10 patches cut from one gastric biopsy slide, each 300 × 300 pixels, H&E stain, ×20.
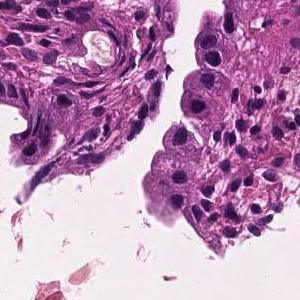
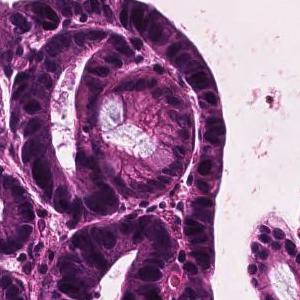
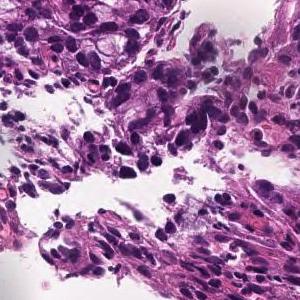
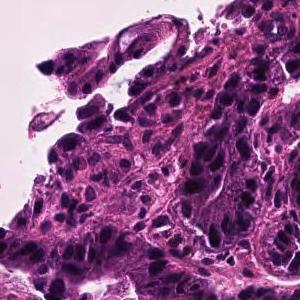
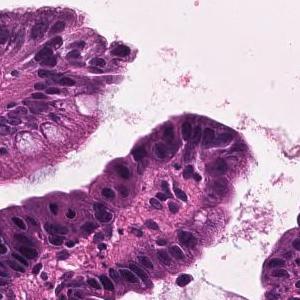
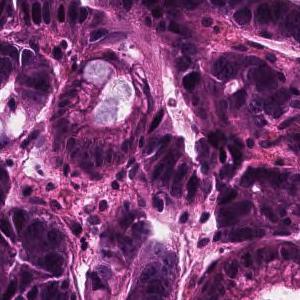
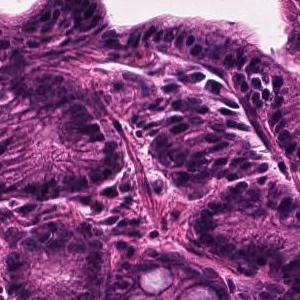
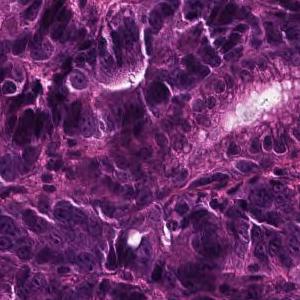
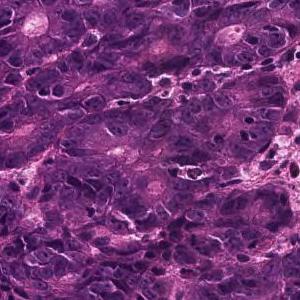
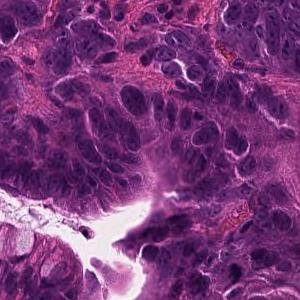
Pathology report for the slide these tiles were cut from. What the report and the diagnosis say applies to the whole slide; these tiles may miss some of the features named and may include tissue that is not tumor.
In the superficial epithelium, tumor tissue that invades by forming medium-sized to small, irregular ducts is observed. Well differentiated tubular adenocarcinoma.
